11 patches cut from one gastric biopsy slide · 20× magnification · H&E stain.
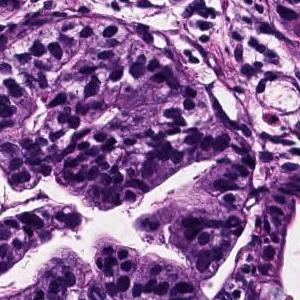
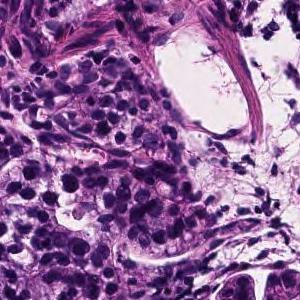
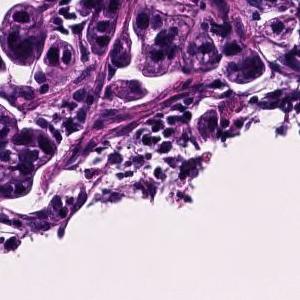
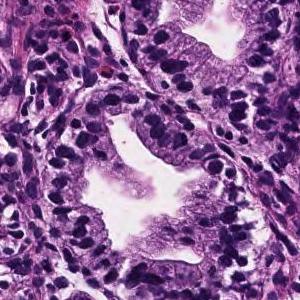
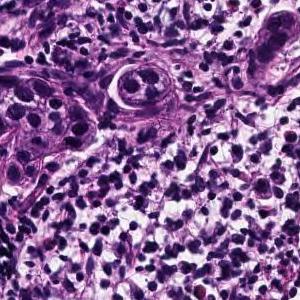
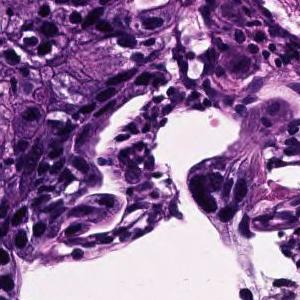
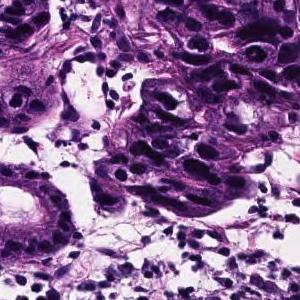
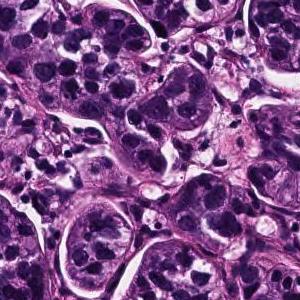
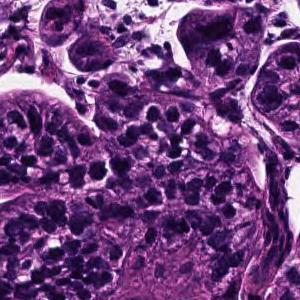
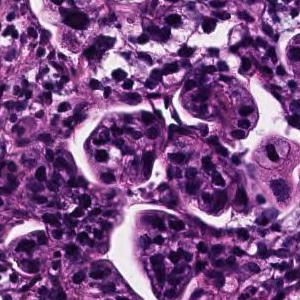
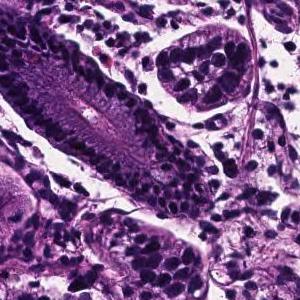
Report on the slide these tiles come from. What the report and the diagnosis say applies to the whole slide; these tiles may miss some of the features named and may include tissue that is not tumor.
Tumor tissue consisting of cord-like or small, irregular glandular ducts fused and infiltrated is observed in the superficial epithelium. Poorly differentiated adenocarcinoma, non-solid type
"Non-solid type" is a category of the Japanese Classification of Gastric Carcinoma.
